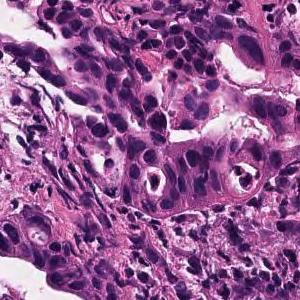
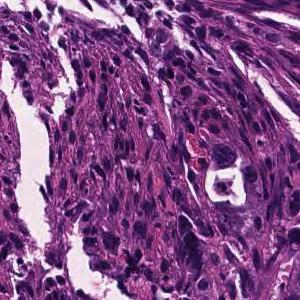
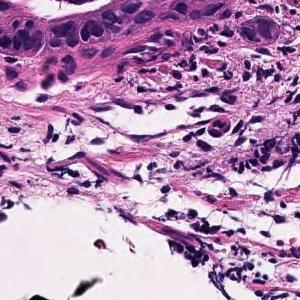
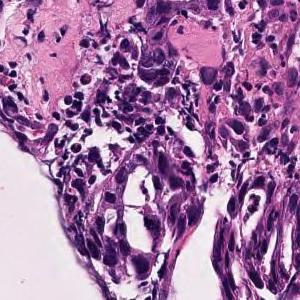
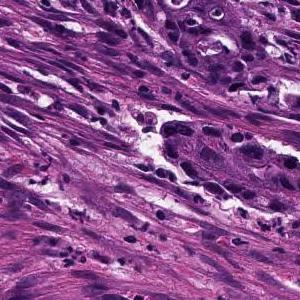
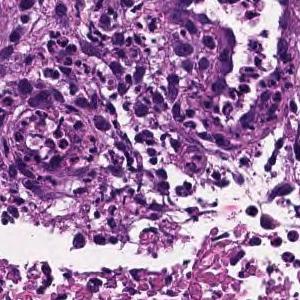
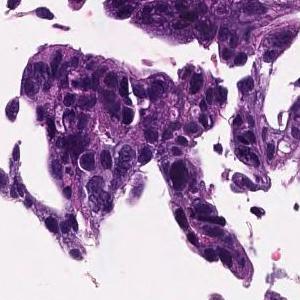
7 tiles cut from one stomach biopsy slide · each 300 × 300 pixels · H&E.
The pathologist's report on the biopsy slide these tiles were taken from. The findings and the diagnosis refer to the entire slide; these tiles show only part of it, possibly with non-tumor tissue, and may not show every feature named.
In the superficial epithelium, medium-sized to small irregular glandular ducts are formed, and in some cases, the glandular ducts are fused or small cord-like infiltrating tumor tissue is observed. moderately differentiated tubular adenocarcinoma
